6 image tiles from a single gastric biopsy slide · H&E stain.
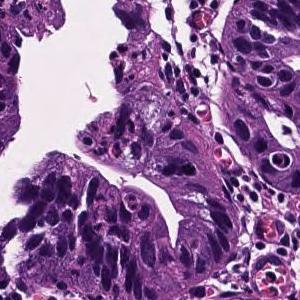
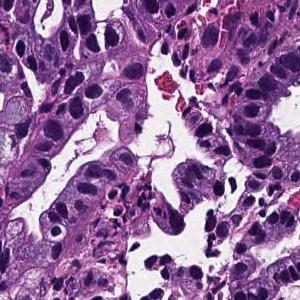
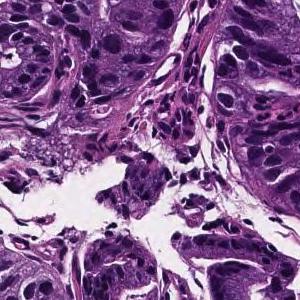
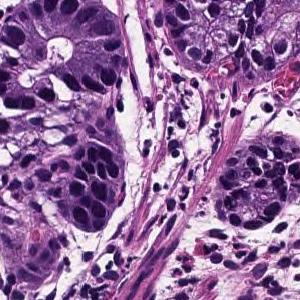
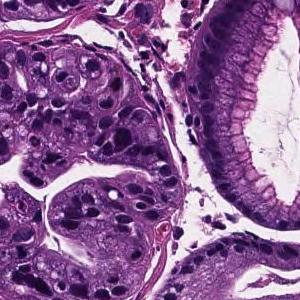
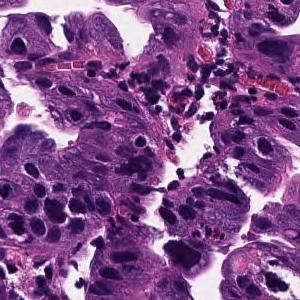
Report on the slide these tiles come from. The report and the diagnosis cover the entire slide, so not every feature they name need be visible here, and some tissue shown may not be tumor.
In the superficial epithelium, tumor tissue that invades by forming medium-sized to small, irregular ducts is observed. Well differentiated tubular adenocarcinoma.
